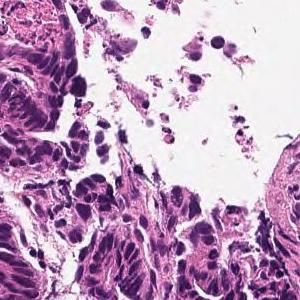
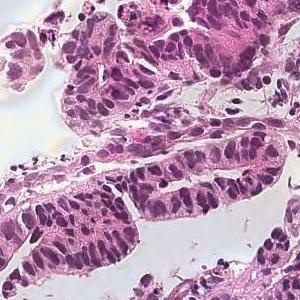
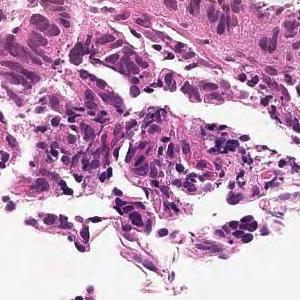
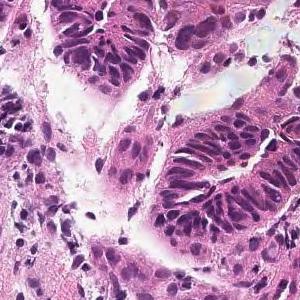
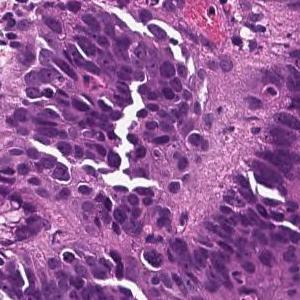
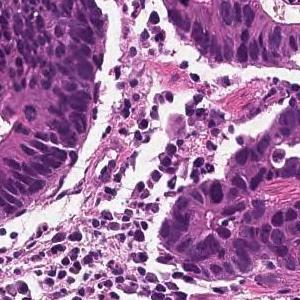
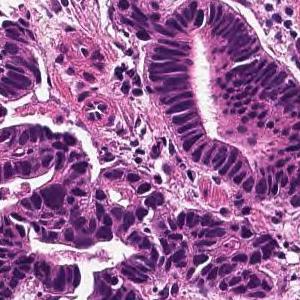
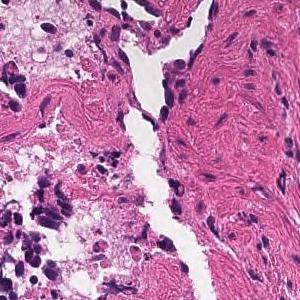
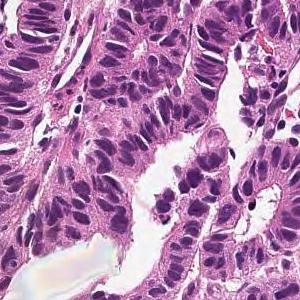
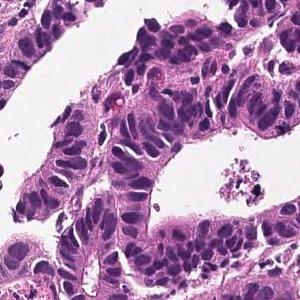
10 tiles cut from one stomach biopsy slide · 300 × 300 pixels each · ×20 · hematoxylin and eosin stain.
Diagnostic report for the slide these tiles come from. The report and the diagnosis describe the slide as a whole, so these tiles may not show every feature named and may include non-tumor tissue.
From the superficial epithelium to the muscularis mucosae, tumor tissue consisting of medium-sized and irregular glandular ducts infiltrating is observed. Well differentiated tubular adenocarcinoma
